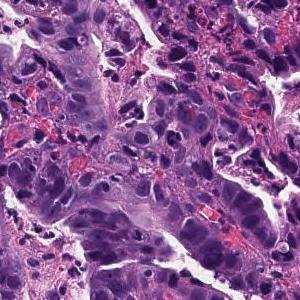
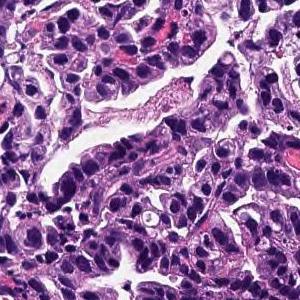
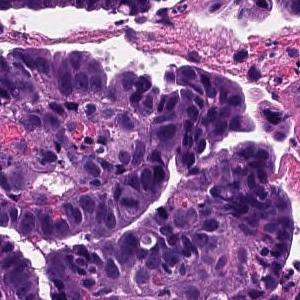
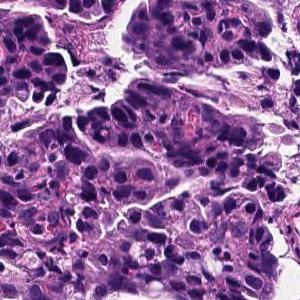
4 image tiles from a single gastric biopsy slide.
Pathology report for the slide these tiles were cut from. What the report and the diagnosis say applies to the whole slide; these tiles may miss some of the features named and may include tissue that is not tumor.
Infiltrating tumor tissue is observed in the superficial epithelium, showing large papillary structures or large and small ducts. Papillary adenocarcinoma
